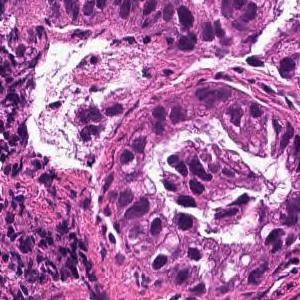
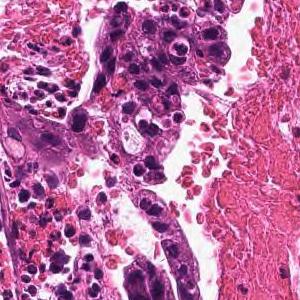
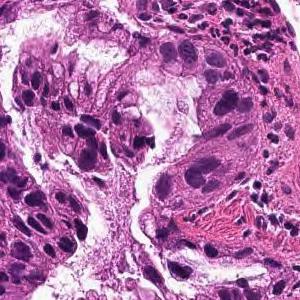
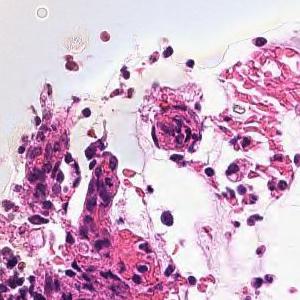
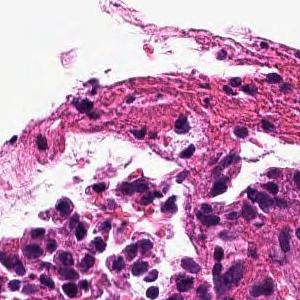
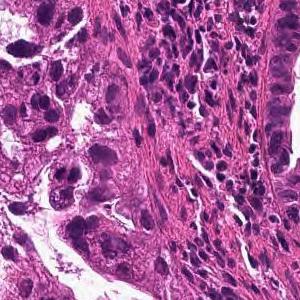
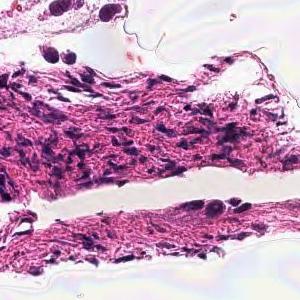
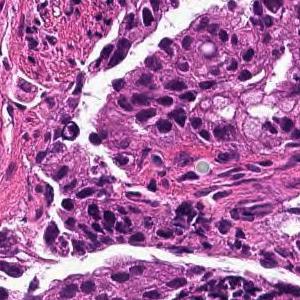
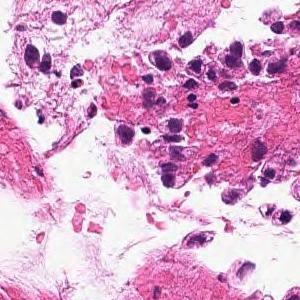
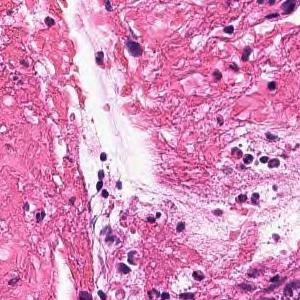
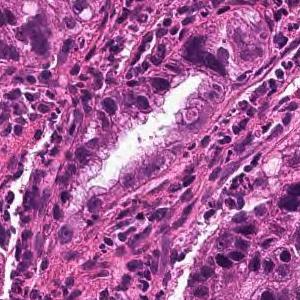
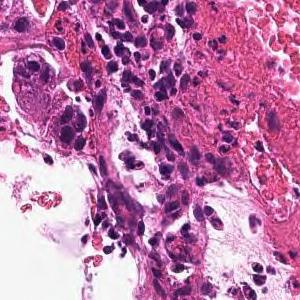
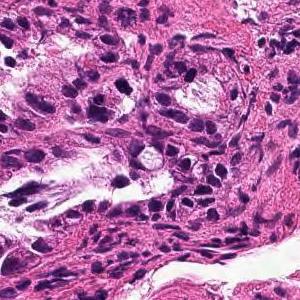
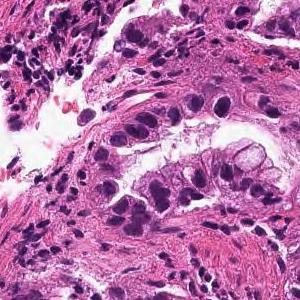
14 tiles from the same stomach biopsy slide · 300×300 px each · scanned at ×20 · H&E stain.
Report on the slide these tiles come from. The report describes the whole slide, diagnosis included: not every finding it names need appear in these tiles, which may also show non-tumor tissue.
From the superficial epithelium to the muscularis mucosae, tumor tissue infiltrating by forming medium-sized irregular gland ducts is observed. Well differentiated tubular adenocarcinoma
